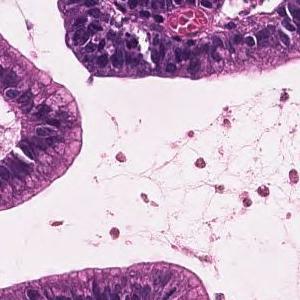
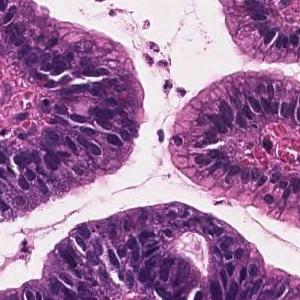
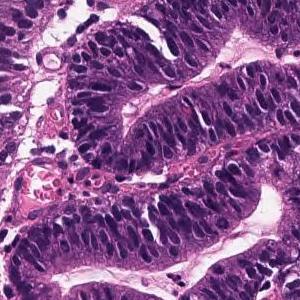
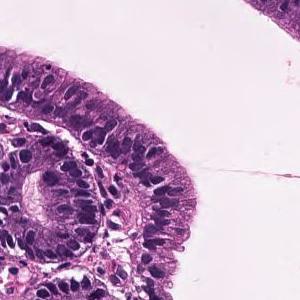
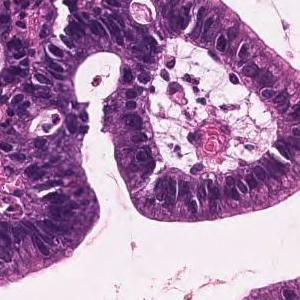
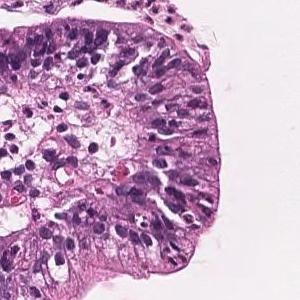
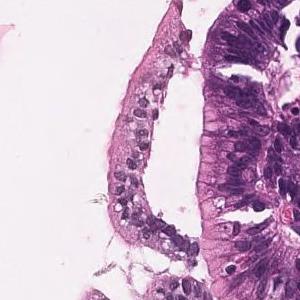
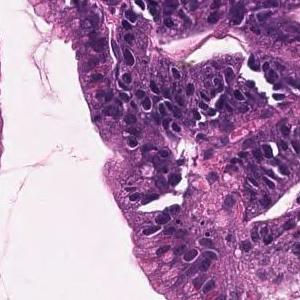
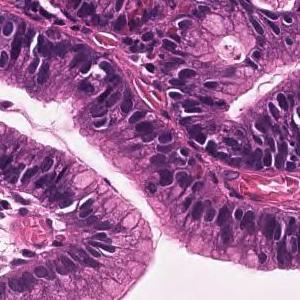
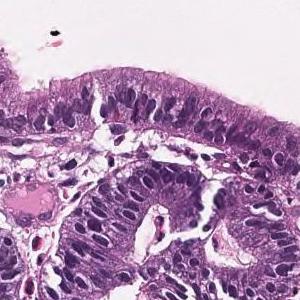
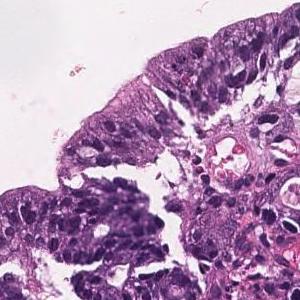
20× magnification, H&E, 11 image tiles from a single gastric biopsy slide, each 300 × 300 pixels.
Diagnostic report for the slide these tiles come from. Both the report and the diagnosis are for the whole slide: these tiles need not show every feature named, and some of the tissue shown may not be tumor.
On the superficial epithelium, tumor tissue that infiltrates by forming medium-sized papillary or small irregular ducts is observed. Papillary adenocarcinoma
